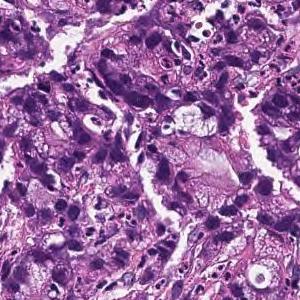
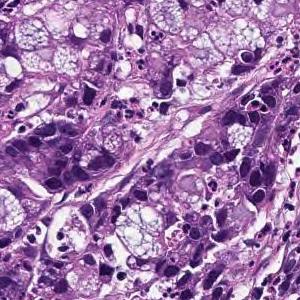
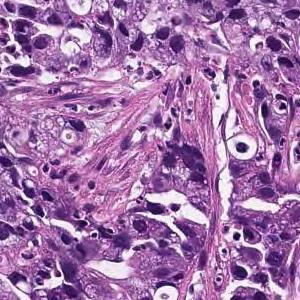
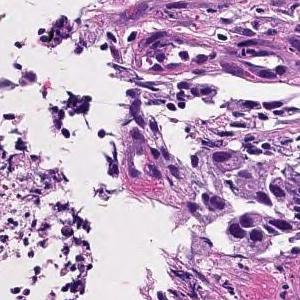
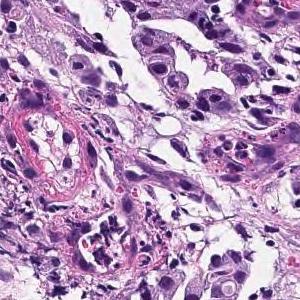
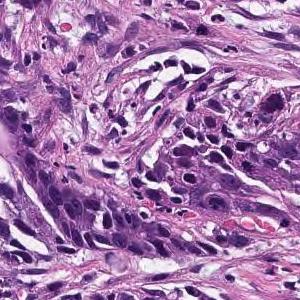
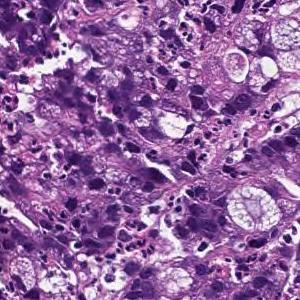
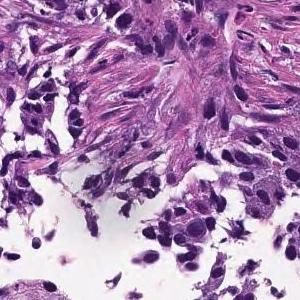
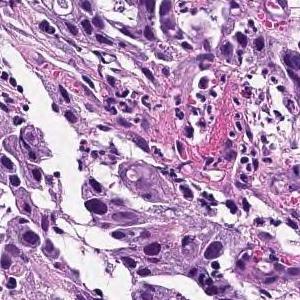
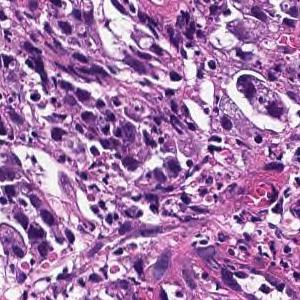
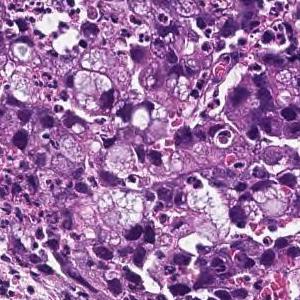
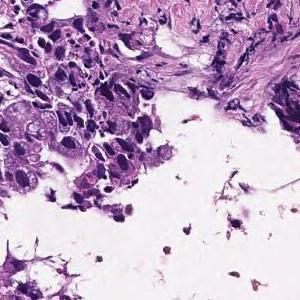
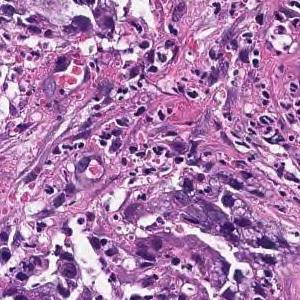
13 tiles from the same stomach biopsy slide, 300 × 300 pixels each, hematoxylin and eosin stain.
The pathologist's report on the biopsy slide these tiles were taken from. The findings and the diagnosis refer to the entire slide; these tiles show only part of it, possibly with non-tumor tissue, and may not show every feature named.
Medium to small, irregular glandular ducts are formed in the superficial epithelium, and in some cases, the glandular ducts are fused to show solid alveolar lesions and infiltrating tumor tissue is observed. Moderately to poorly differentiated adenocarcinoma.
